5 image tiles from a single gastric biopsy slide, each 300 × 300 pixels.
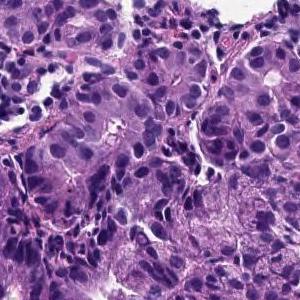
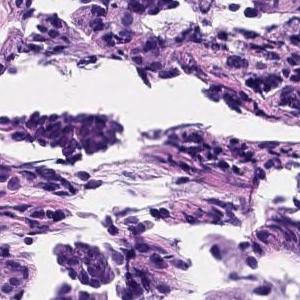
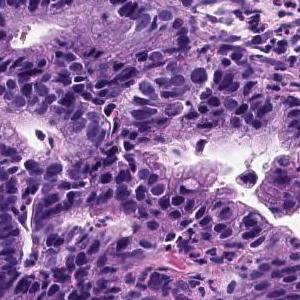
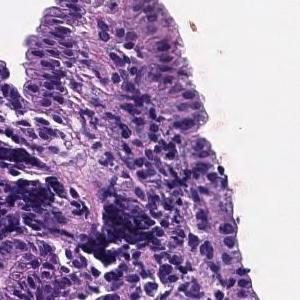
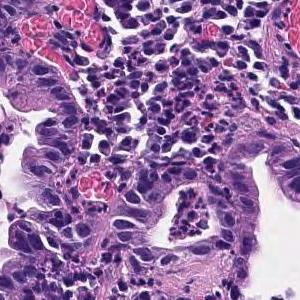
Report on the slide these tiles come from. The report and the diagnosis cover the entire slide, so not every feature they name need be visible here, and some tissue shown may not be tumor.
The superficial tumors shows large papillary structures or large and small ducts and infiltrates. Papillary adenocarcinoma.
